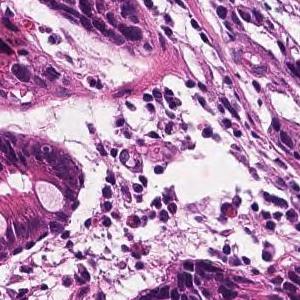
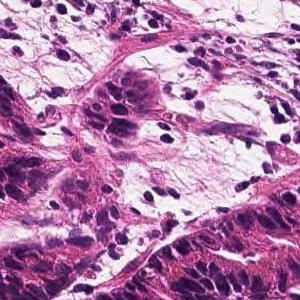
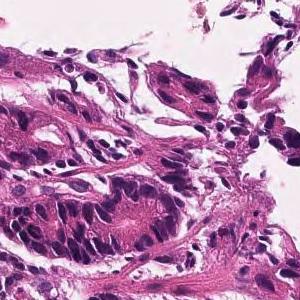
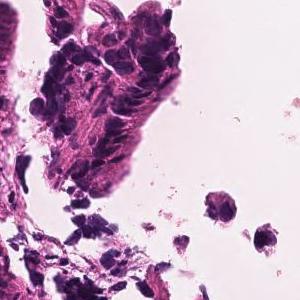
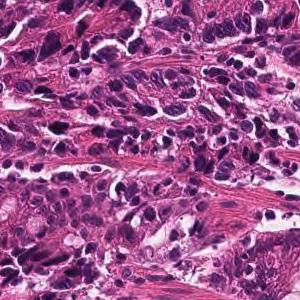
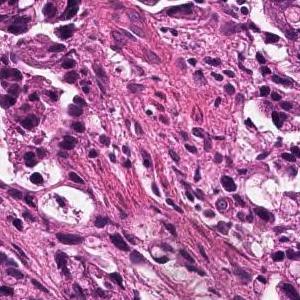
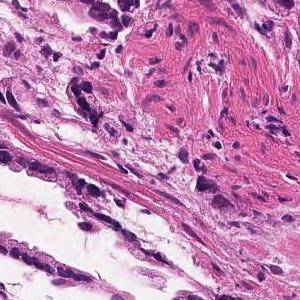
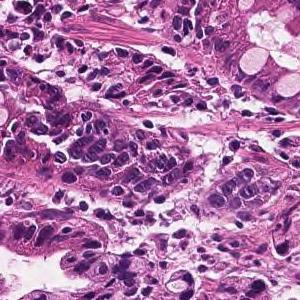
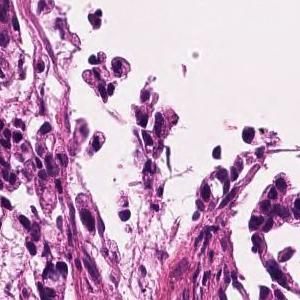
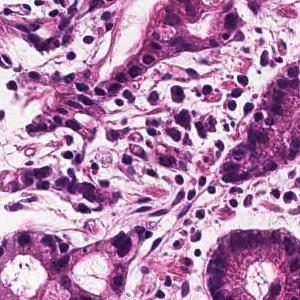
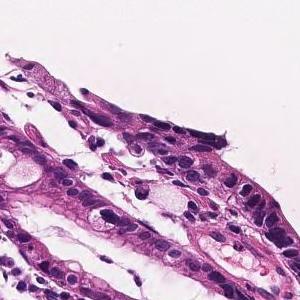
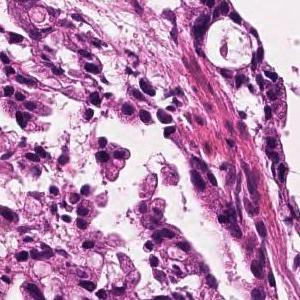
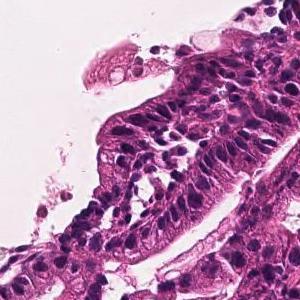
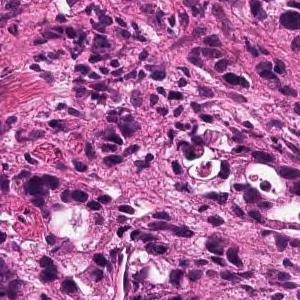
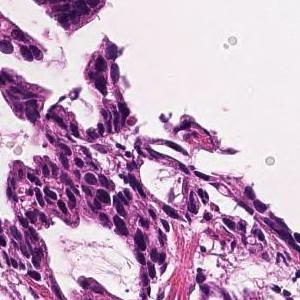
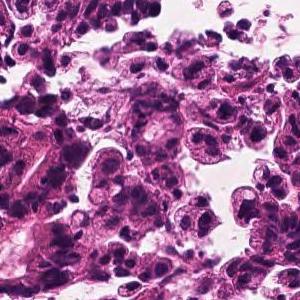
H&E · 16 tiles from the same stomach biopsy slide · each 300 × 300 pixels.
Report on the slide these tiles come from. What the report and the diagnosis say applies to the whole slide; these tiles may miss some of the features named and may include tissue that is not tumor.
In the superficial epithelium, tumor tissue that invades by forming medium-sized to small, irregular ducts is observed. moderately differentiated tubular adenocarcinoma.
